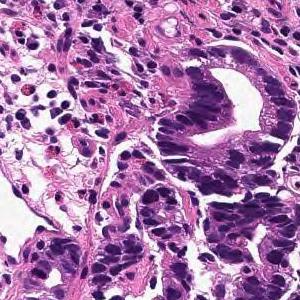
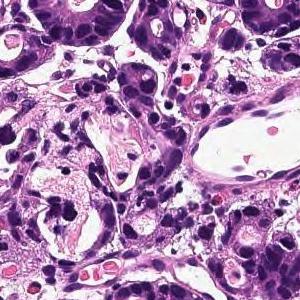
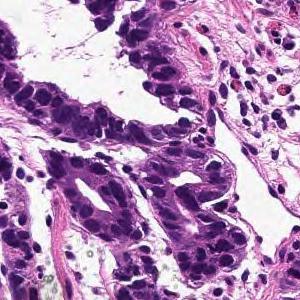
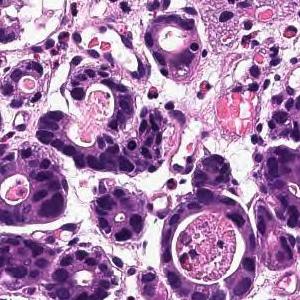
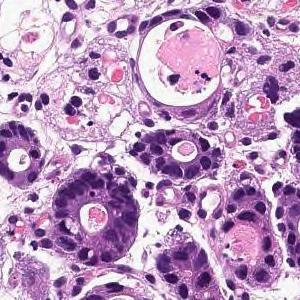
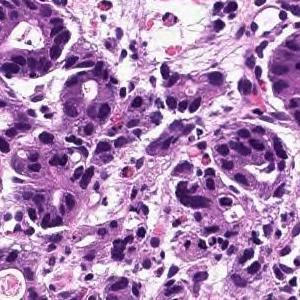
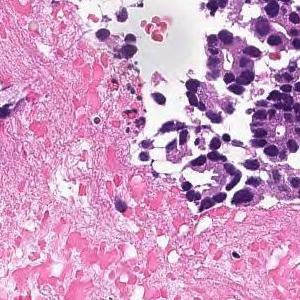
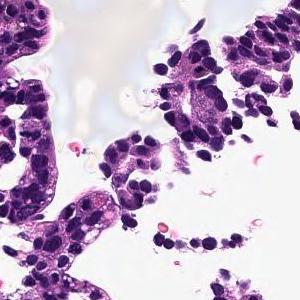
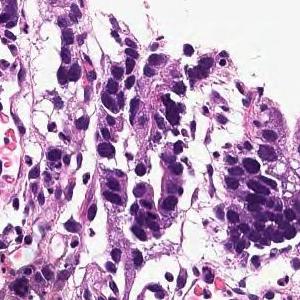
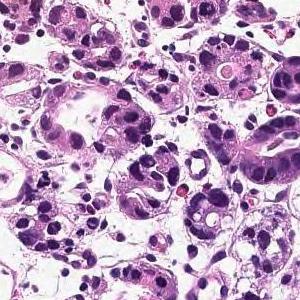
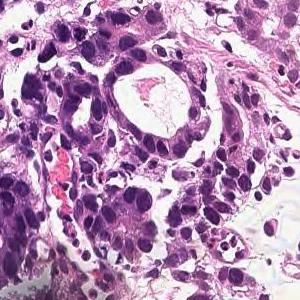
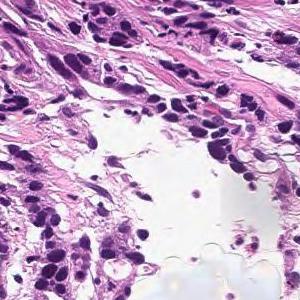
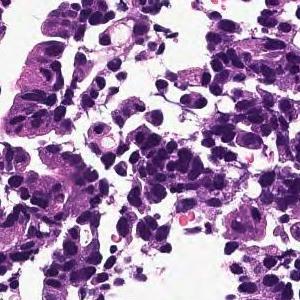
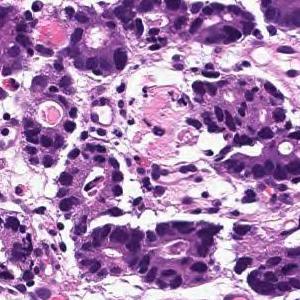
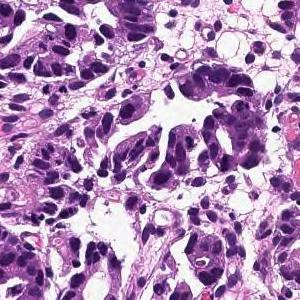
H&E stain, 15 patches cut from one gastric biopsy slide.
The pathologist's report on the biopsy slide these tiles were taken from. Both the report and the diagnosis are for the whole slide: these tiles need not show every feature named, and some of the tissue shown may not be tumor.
In the superficial epithelium, tumor tissue that invades by forming medium-sized to small, irregular ducts is observed. moderately differentiated tubular adenocarcinoma.
